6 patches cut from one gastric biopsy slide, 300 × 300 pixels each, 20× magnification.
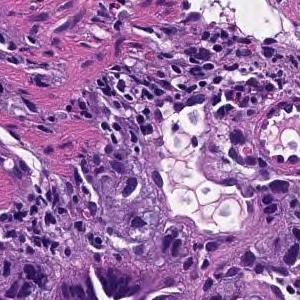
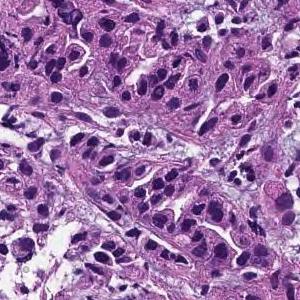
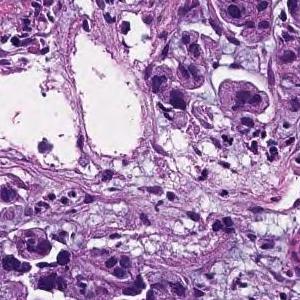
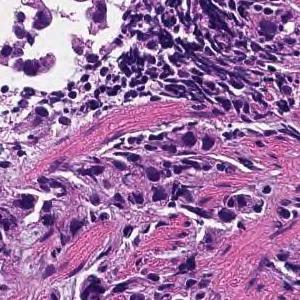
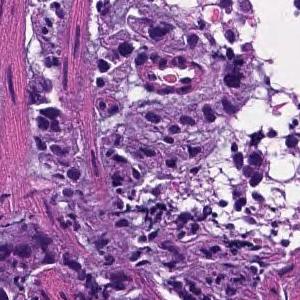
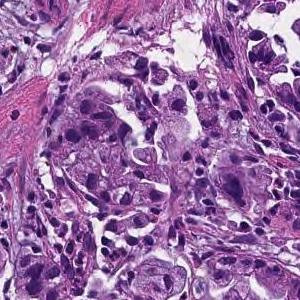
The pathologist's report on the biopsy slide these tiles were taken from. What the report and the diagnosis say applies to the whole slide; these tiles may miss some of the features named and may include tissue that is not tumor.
Tumor tissue consisting of medium-sized, cord-like or irregular glandular infiltration is observed in the superficial epithelium. Poorly differentiated adenocarcinoma, non-solid type or moderately differentiated tubular adenocarcinoma
Histological subtype: Moderately to poorly differentiated adenocarcinoma.
The non-solid type named here is a Japanese Classification of Gastric Carcinoma category.
